20× magnification; 15 tiles cut from one stomach biopsy slide.
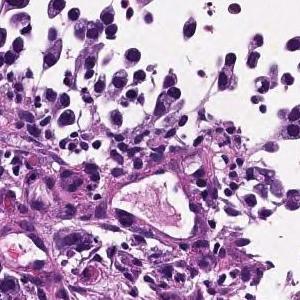
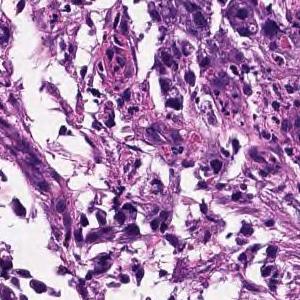
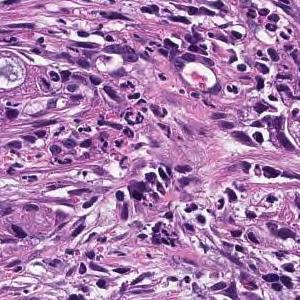
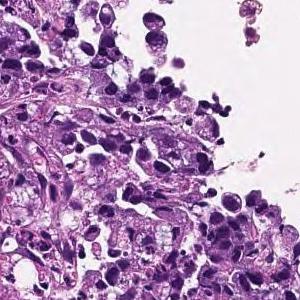
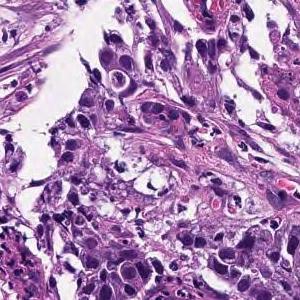
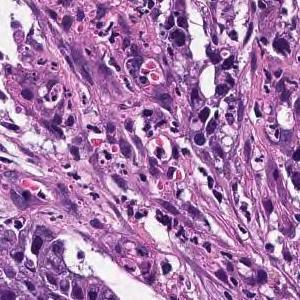
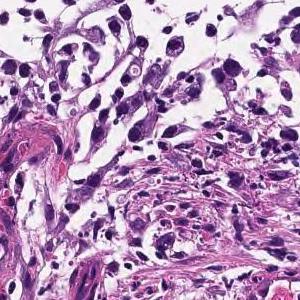
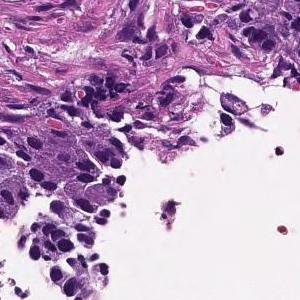
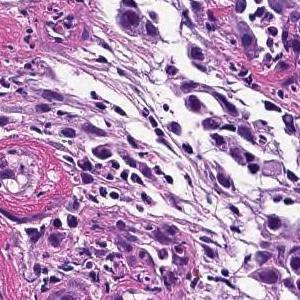
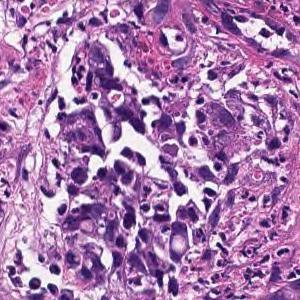
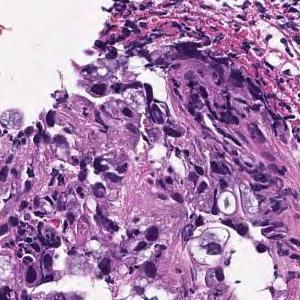
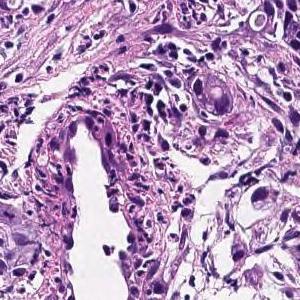
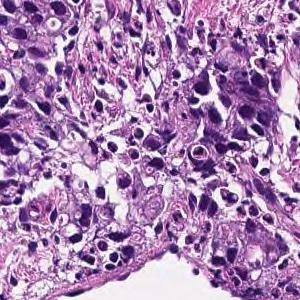
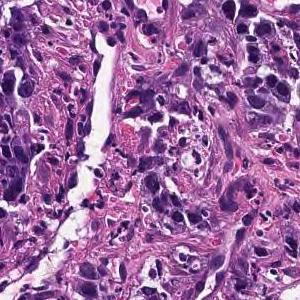
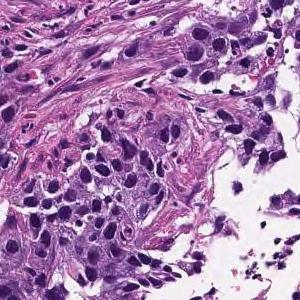
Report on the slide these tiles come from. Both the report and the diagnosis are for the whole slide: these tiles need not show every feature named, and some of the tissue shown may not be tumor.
Medium to small, irregular glandular ducts are formed in the superficial epithelium, and in some cases, the glandular ducts are fused to show solid alveolar lesions and infiltrating tumor tissue is observed. Moderately to poorly differentiated adenocarcinoma.
